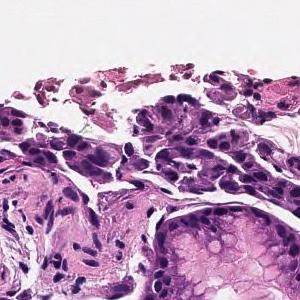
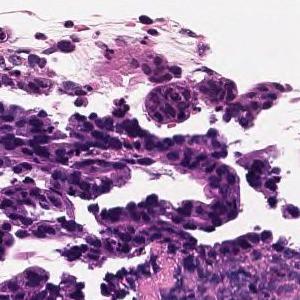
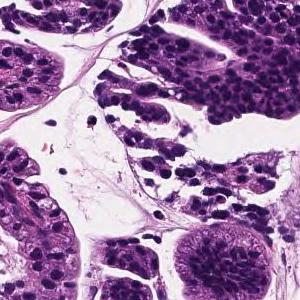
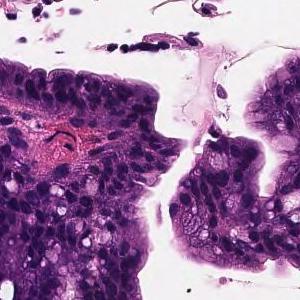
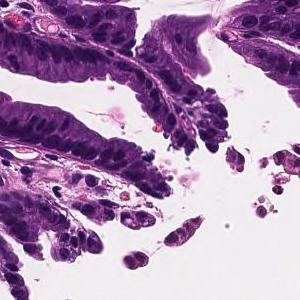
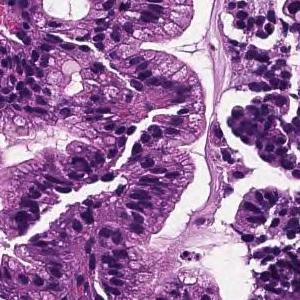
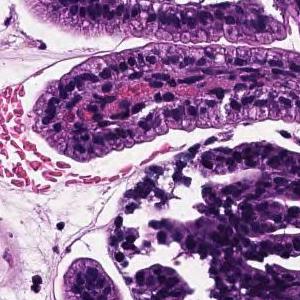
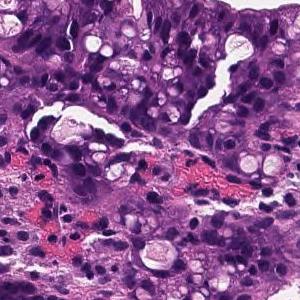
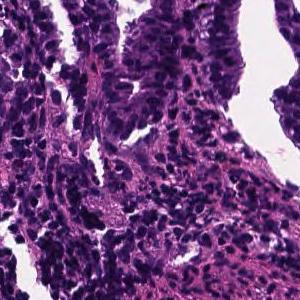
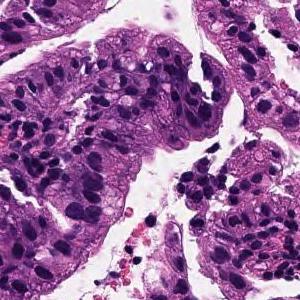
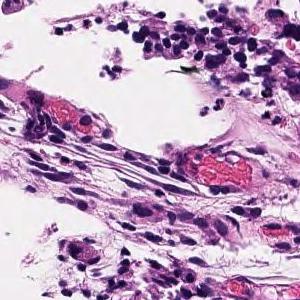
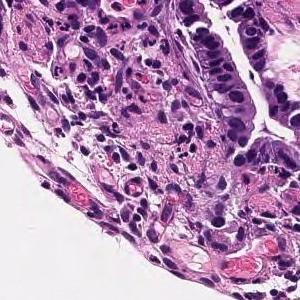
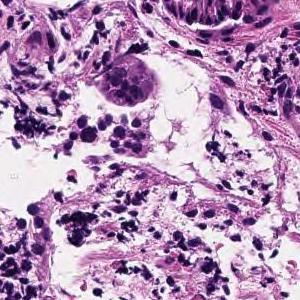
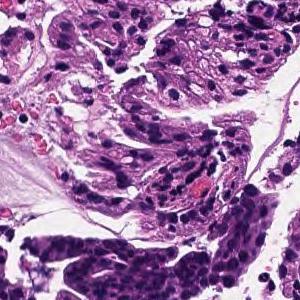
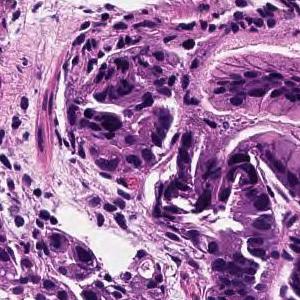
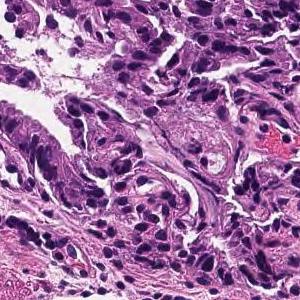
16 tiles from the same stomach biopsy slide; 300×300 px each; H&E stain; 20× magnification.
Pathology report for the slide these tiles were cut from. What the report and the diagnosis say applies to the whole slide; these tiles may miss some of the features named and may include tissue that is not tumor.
On the superficial epithelium, tumor tissue that infiltrates by forming medium-sized papillary or small irregular ducts is observed. Papillary adenocarcinoma
